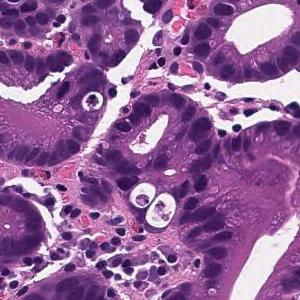
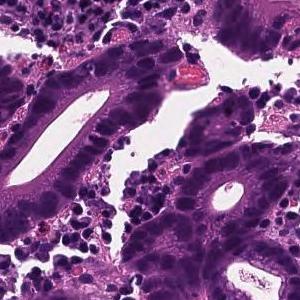
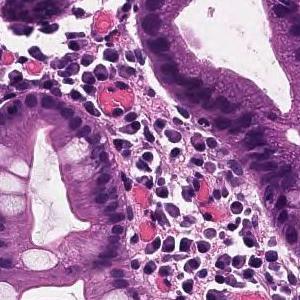
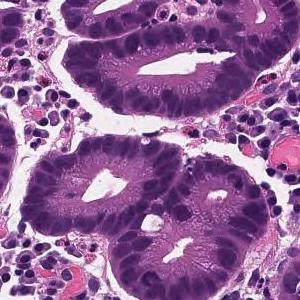
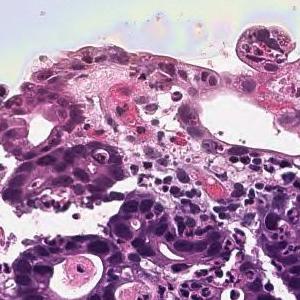
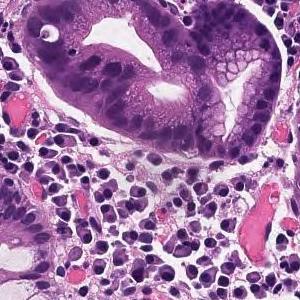
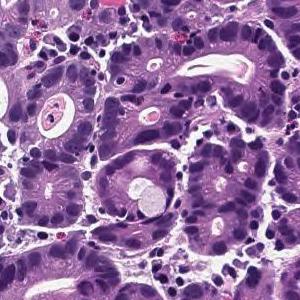
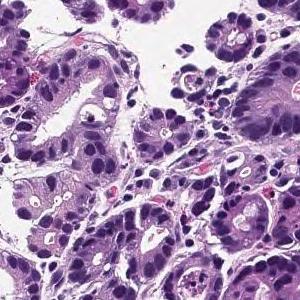
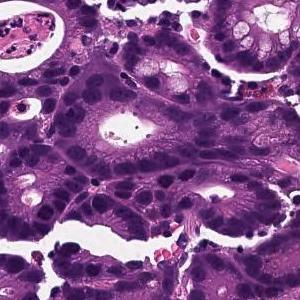
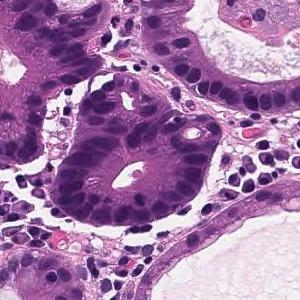
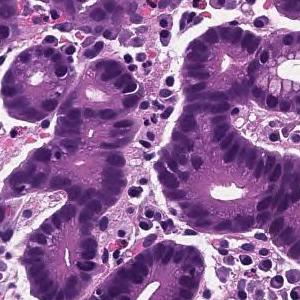
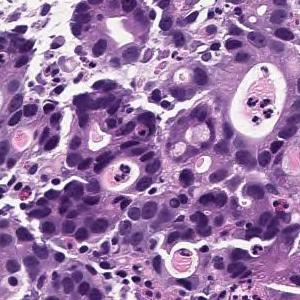
12 tiles cut from one stomach biopsy slide, 300 × 300 pixels each, scanned at ×20, H&E.
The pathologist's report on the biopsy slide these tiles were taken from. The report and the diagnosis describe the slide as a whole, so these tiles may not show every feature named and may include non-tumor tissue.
Cancer cells with strongly atypical nuclei grow while forming ducts showing lumens of various sizes. moderately differentiated tubular adenocarcinoma
